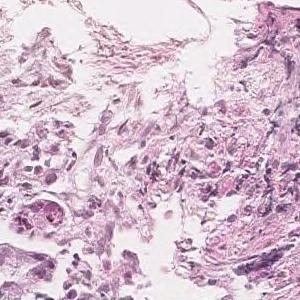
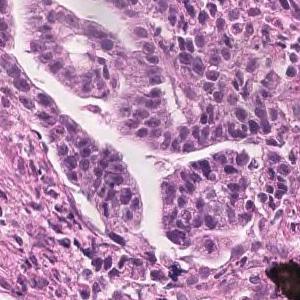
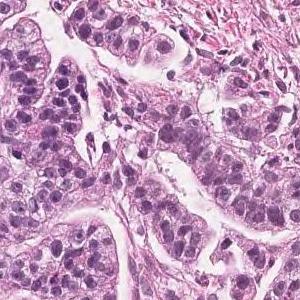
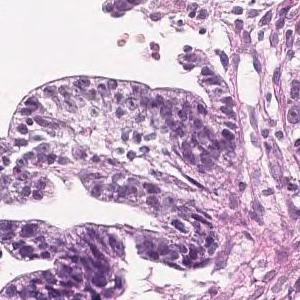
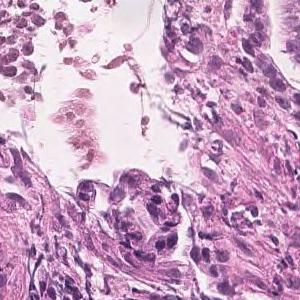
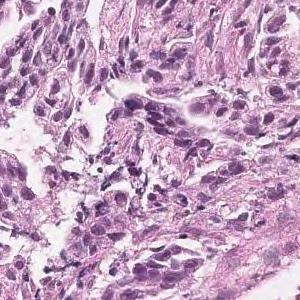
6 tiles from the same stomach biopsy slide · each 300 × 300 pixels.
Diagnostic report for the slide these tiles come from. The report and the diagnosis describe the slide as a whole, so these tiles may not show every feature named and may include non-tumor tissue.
Tumor tissue in which highly columnar atypical epithelial cells with nuclear enlargement and increased nuclear chromatin show papillary to papillary ductal structure and proliferate is observed. Papillary adenocarcinoma.
